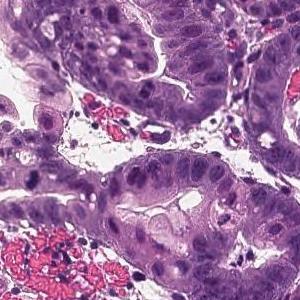
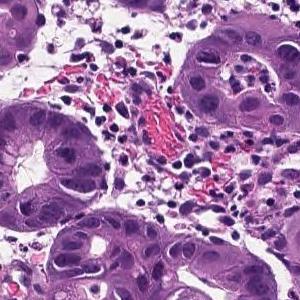
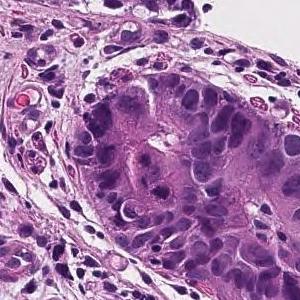
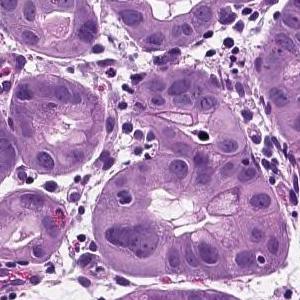
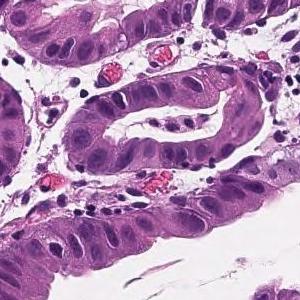
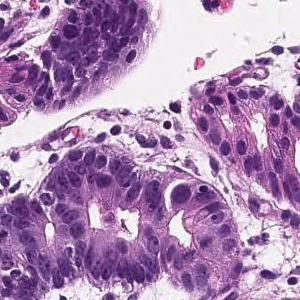
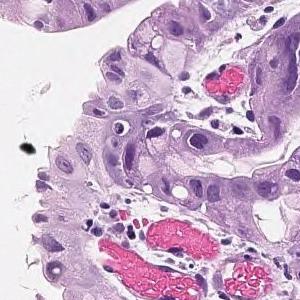
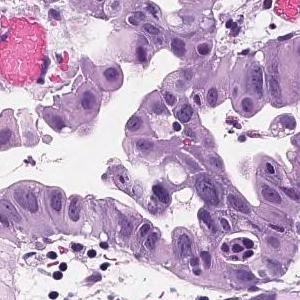
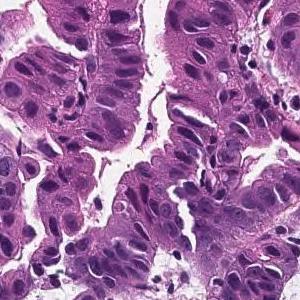
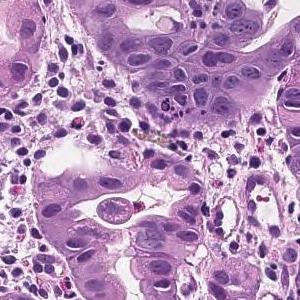
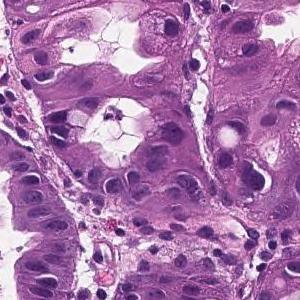
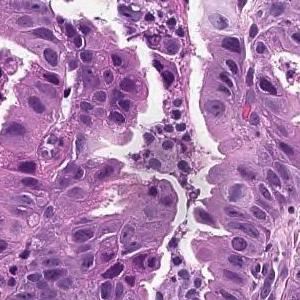
Hematoxylin and eosin stain · scanned at ×20 · 12 tiles from the same stomach biopsy slide.
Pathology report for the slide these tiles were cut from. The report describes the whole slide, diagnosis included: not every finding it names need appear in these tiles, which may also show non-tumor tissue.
On the superficial epithelium, tumor tissue that infiltrates by forming medium-sized papillary or small irregular ducts is observed. Papillary adenocarcinoma
